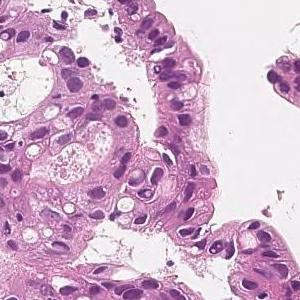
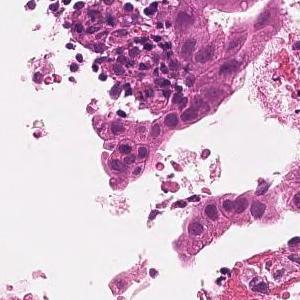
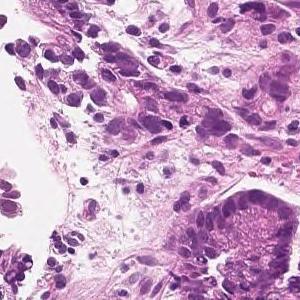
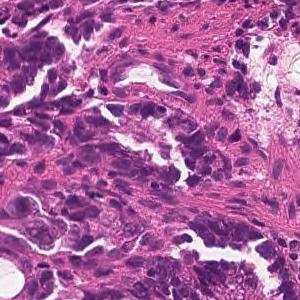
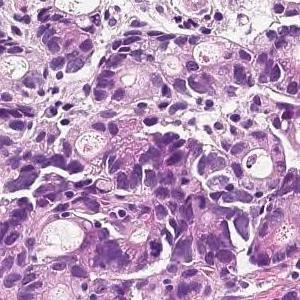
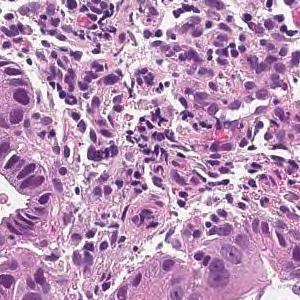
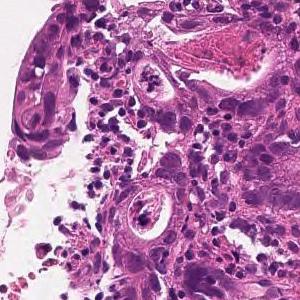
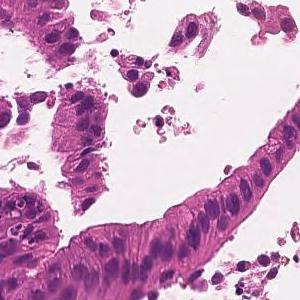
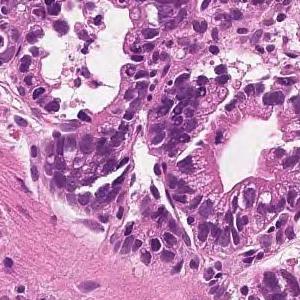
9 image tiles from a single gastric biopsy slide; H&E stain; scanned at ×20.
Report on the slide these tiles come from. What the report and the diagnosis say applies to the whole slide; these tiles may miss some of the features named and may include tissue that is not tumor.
On the superficial epithelium, tumor tissue is found in which medium-sized irregular gland ducts fuse with each other and infiltrate. moderately differentiated tubular adenocarcinoma
